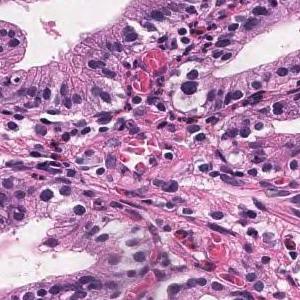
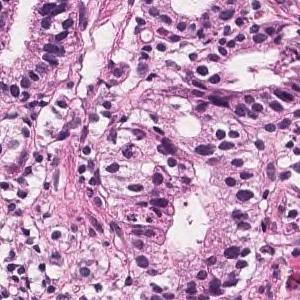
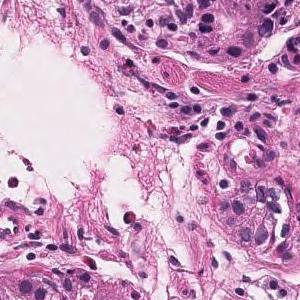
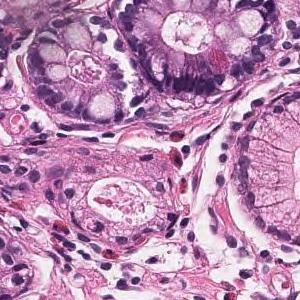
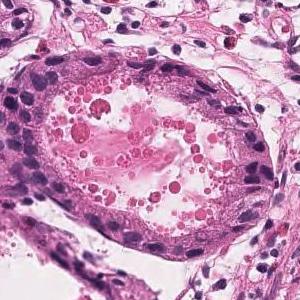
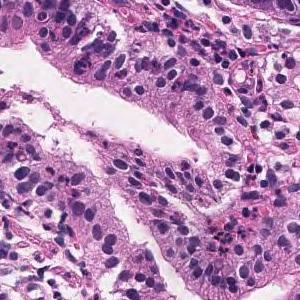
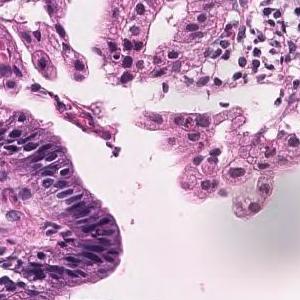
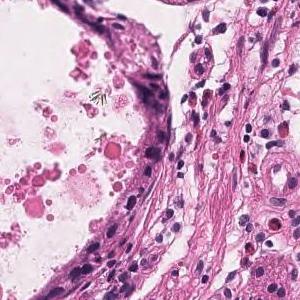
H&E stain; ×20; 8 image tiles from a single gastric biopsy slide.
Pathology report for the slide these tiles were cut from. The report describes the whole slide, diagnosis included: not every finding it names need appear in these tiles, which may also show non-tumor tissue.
On the superficial epithelium, tumor tissue consisting of large, irregular glandular ducts partially fused and infiltrated is observed. Well differentiated tubular adenocarcinoma
